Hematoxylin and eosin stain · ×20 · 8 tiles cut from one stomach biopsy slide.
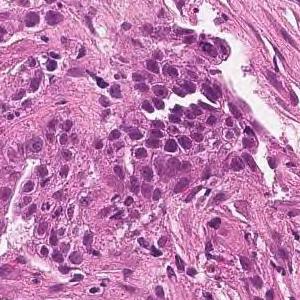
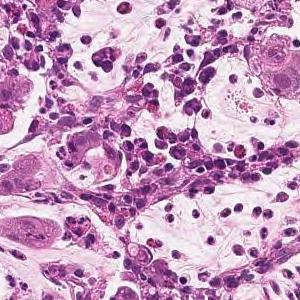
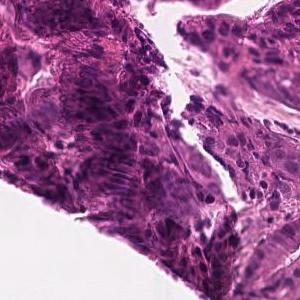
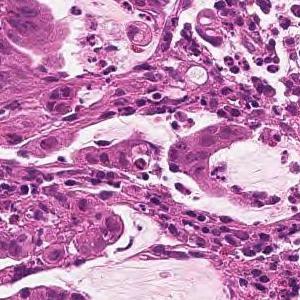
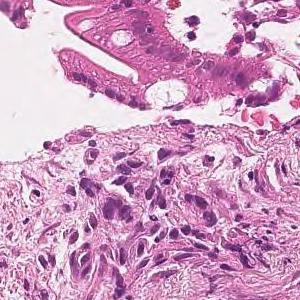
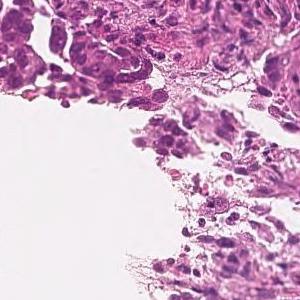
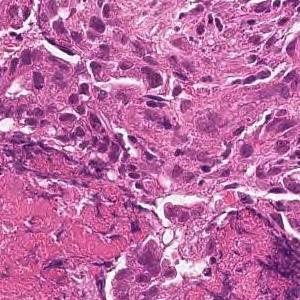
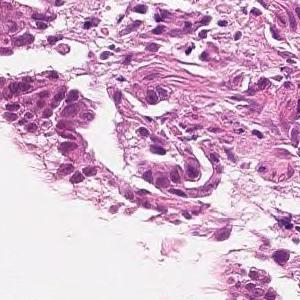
Pathology report for the biopsy slide these tiles were cut from. Both the report and the diagnosis are for the whole slide: these tiles need not show every feature named, and some of the tissue shown may not be tumor.
Tumor tissue consisting of large papillary structures is found in the superficial epithelium. Papillary adenocarcinoma.
